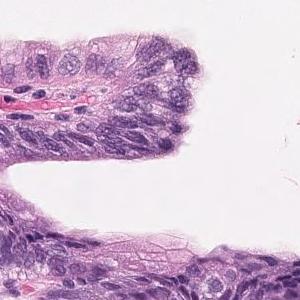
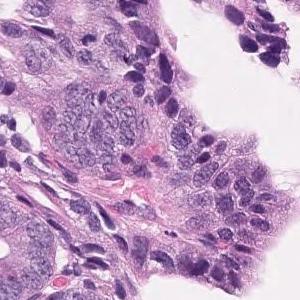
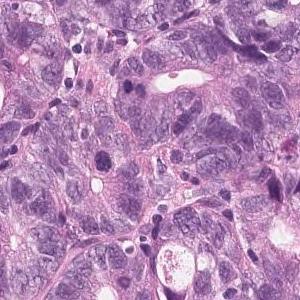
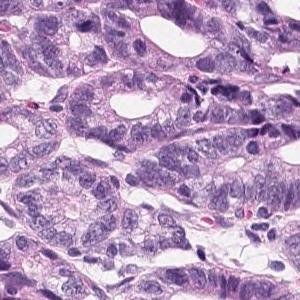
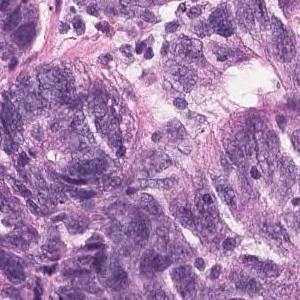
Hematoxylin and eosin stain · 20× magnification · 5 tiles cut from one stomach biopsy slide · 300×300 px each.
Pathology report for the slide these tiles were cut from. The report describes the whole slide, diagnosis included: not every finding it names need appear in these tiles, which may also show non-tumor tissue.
Atypical ducts with severe atypia are densely populated in the superficial epithelium, and tumor tissue with hyperplasia is observed. Well differentiated tubular adenocarcinoma
